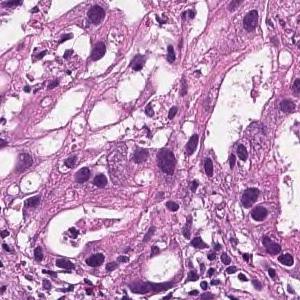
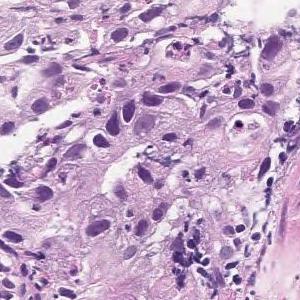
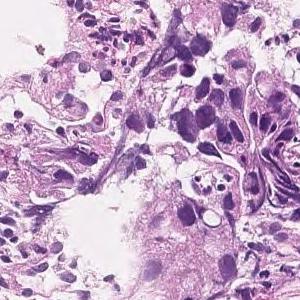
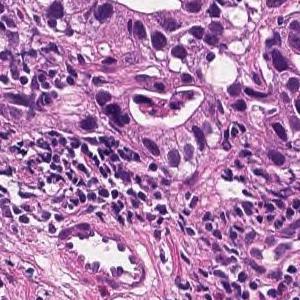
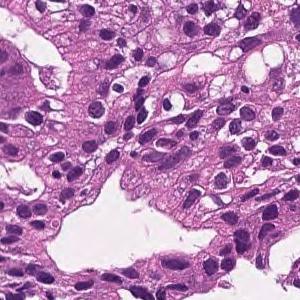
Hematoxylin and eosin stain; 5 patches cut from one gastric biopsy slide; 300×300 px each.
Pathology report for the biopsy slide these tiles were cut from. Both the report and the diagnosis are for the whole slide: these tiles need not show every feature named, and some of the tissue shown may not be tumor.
In the superficial epithelium, tumor tissue that invades by forming medium-sized to small, irregular ducts is observed. moderately differentiated tubular adenocarcinoma.
